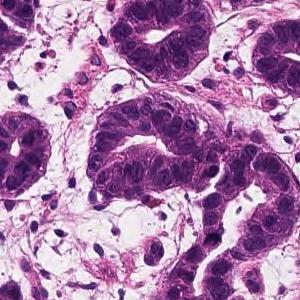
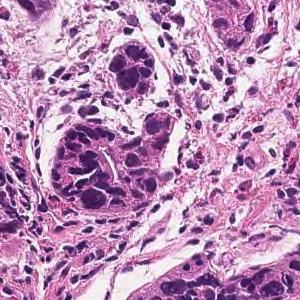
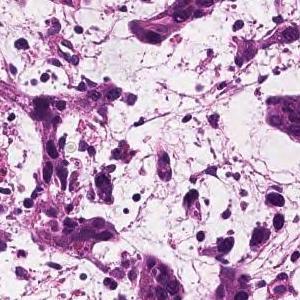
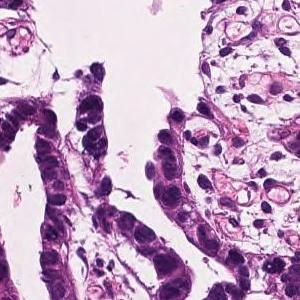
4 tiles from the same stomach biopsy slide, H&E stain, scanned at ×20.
Pathology report for the biopsy slide these tiles were cut from. What the report and the diagnosis say applies to the whole slide; these tiles may miss some of the features named and may include tissue that is not tumor.
In the superficial epithelium, tumor tissue that invades by forming medium-sized to small, irregular ducts is observed. Well differentiated tubular adenocarcinoma.
